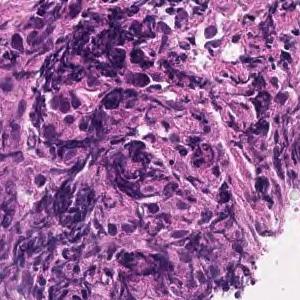
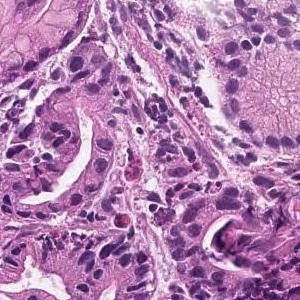
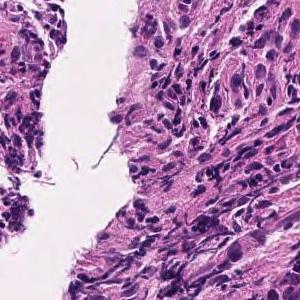
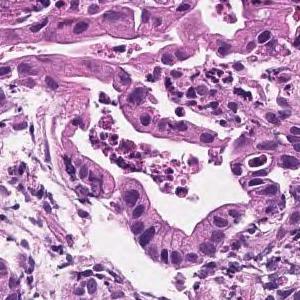
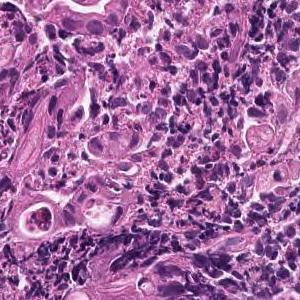
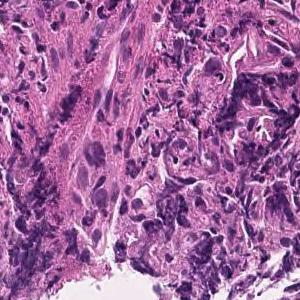
H&E · 6 patches cut from one gastric biopsy slide · 300×300 px each.
Pathology report for the biopsy slide these tiles were cut from. The report describes the whole slide, diagnosis included: not every finding it names need appear in these tiles, which may also show non-tumor tissue.
In the superficial epithelium, tumor tissue that invades by forming medium-sized to small, irregular ducts is observed. moderately differentiated tubular adenocarcinoma.
